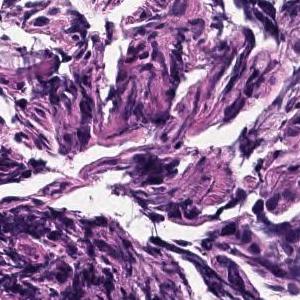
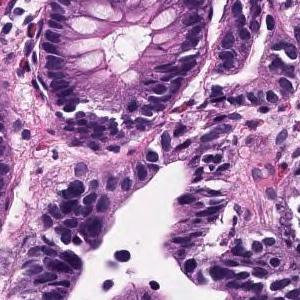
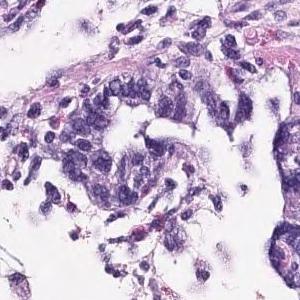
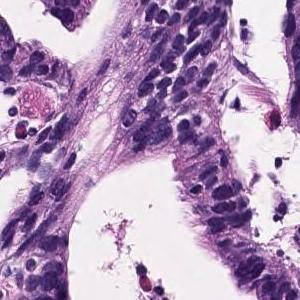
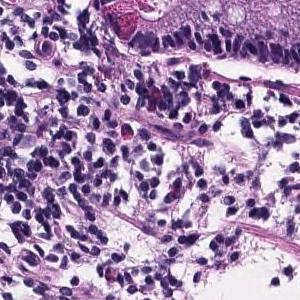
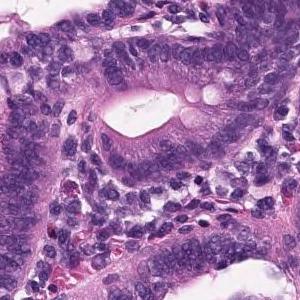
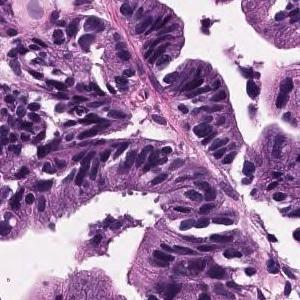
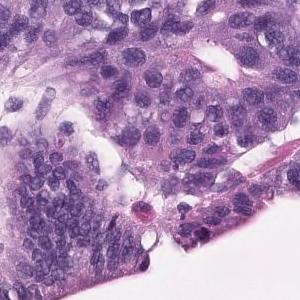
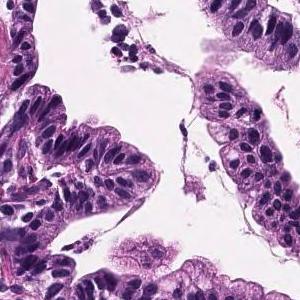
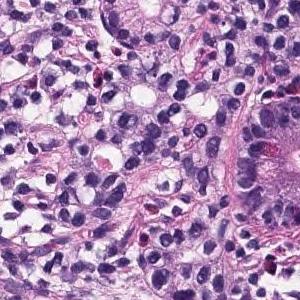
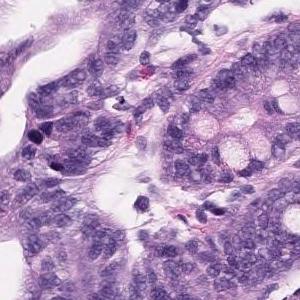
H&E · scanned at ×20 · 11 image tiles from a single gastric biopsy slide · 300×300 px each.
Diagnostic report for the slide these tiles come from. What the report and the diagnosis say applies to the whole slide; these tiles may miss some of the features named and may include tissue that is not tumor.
Tumor cells are large, highly columnar, large club-shaped nuclei, and are associated with chromatin aggregation. Papillary adenocarcinoma.
